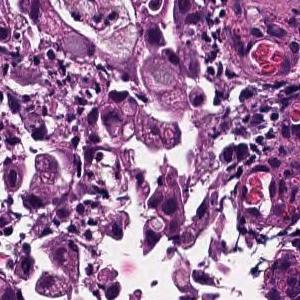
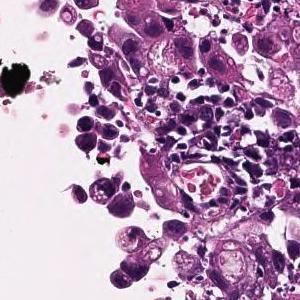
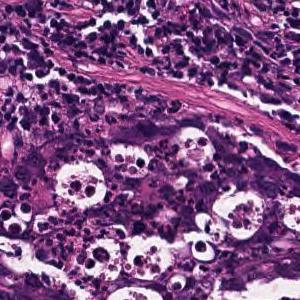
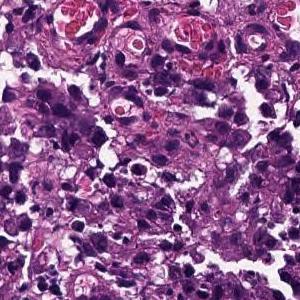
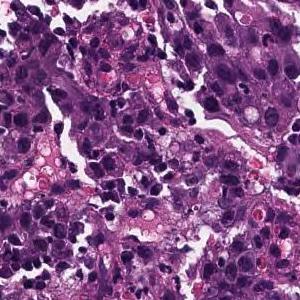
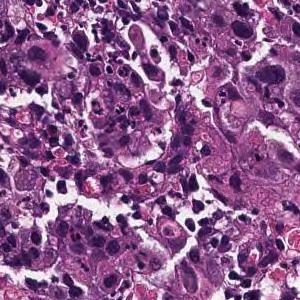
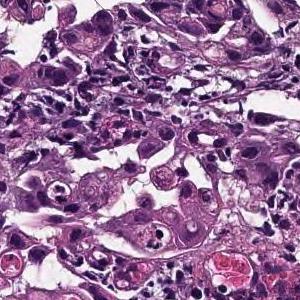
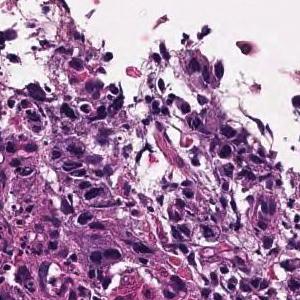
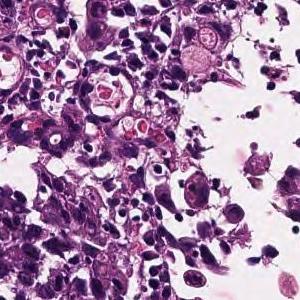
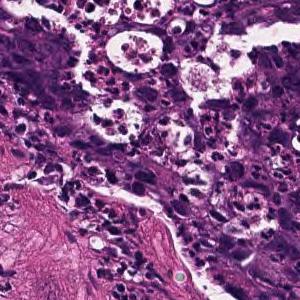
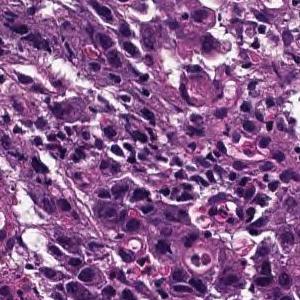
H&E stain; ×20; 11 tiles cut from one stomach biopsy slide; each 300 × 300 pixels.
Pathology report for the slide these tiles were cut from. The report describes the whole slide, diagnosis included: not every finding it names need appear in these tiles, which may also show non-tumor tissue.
The superficial epithelium shows a large sheet-like shape, and some tumor tissue infiltrates with small irregular ducts. Poorly differentiated adenocarcinoma, solid-type
Classified as poorly differentiated adenocarcinoma, solid type, a category of the Japanese Classification of Gastric Carcinoma; in the WHO 2019 classification it is tubular adenocarcinoma, poorly differentiated.
